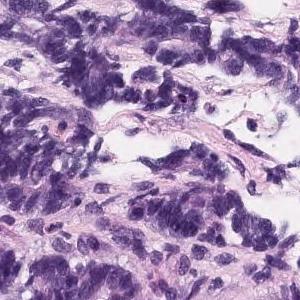
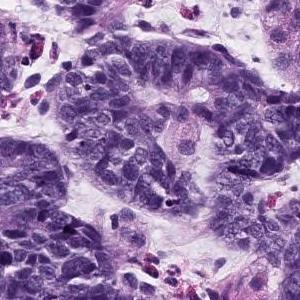
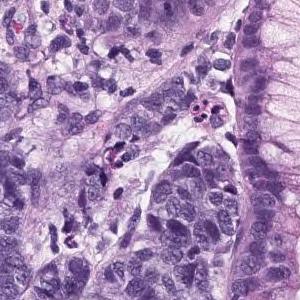
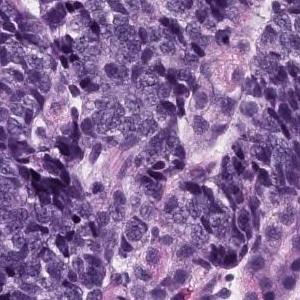
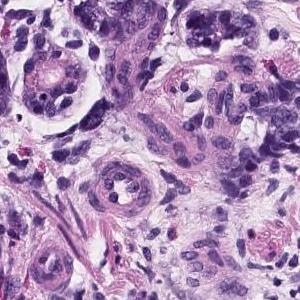
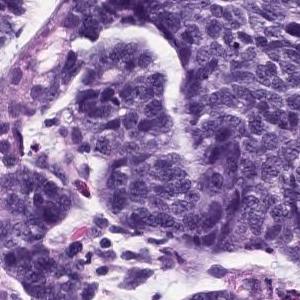
Hematoxylin and eosin stain; ×20; 6 image tiles from a single gastric biopsy slide; 300×300 px each.
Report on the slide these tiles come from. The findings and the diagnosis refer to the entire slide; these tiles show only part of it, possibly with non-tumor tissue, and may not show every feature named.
Group 5, Adenocarcinoma. Moderately to poorly differentiated adenocarcinoma
